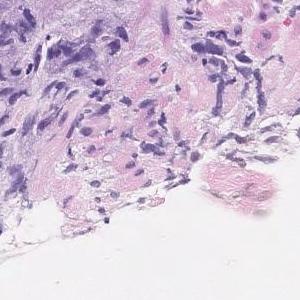
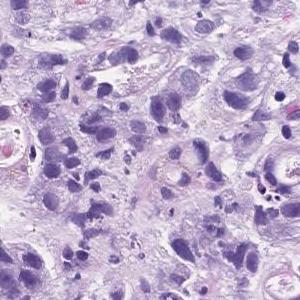
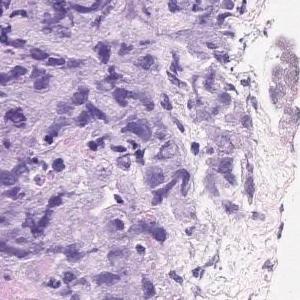
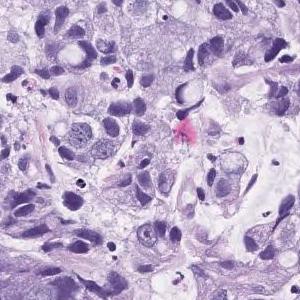
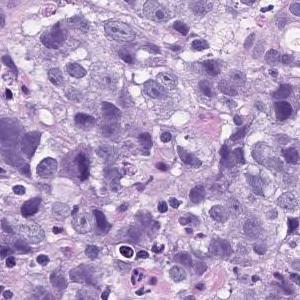
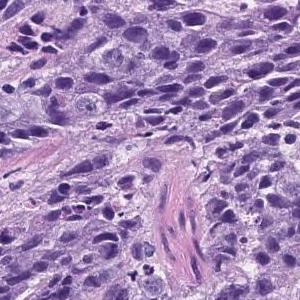
Scanned at ×20; 6 image tiles from a single gastric biopsy slide.
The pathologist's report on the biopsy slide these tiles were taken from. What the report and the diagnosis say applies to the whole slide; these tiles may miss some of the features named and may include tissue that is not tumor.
Atypical l cells with atypical nuclei forming solid vesicles or small irregular atypical ducts that proliferate in a complex manner. poorly differentiated adenocarcinoma, solid type, moderately differentiated tubular adenocarcinoma
"Solid type" is a category of the Japanese Classification of Gastric Carcinoma; in the WHO 2019 classification it is tubular adenocarcinoma, poorly differentiated.
